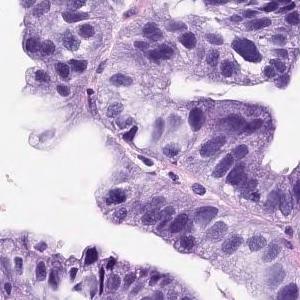
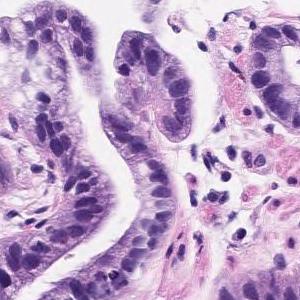
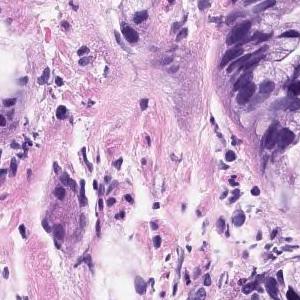
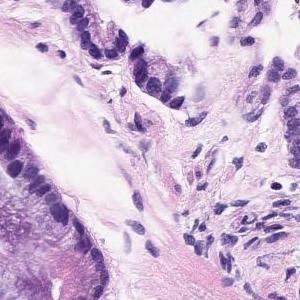
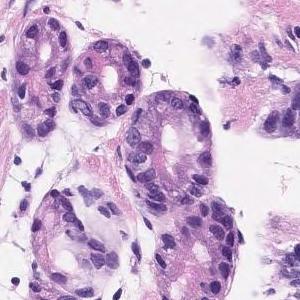
5 image tiles from a single gastric biopsy slide · each 300 × 300 pixels.
Pathology report for the slide these tiles were cut from. The report and the diagnosis cover the entire slide, so not every feature they name need be visible here, and some tissue shown may not be tumor.
The superficial tumors shows large papillary structures or large and small ducts and infiltrates. Papillary adenocarcinoma.
